13 patches cut from one gastric biopsy slide, H&E.
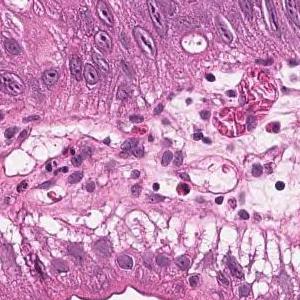
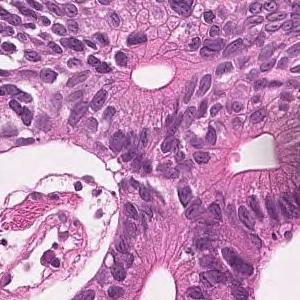
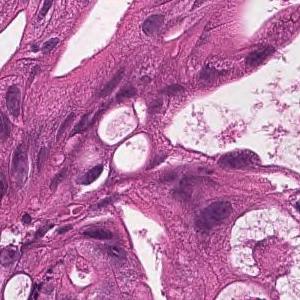
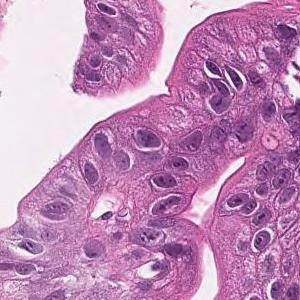
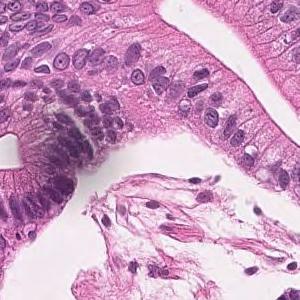
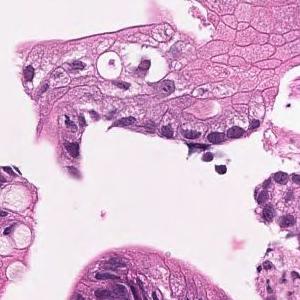
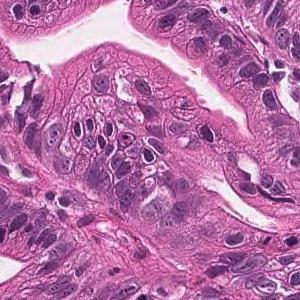
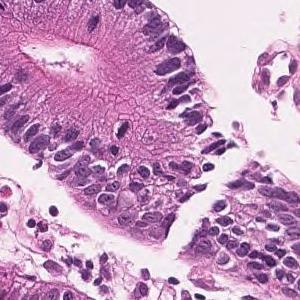
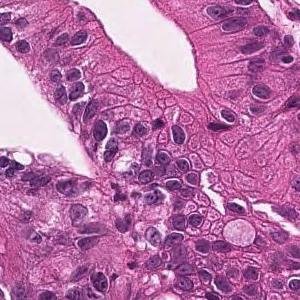
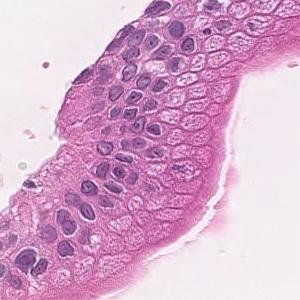
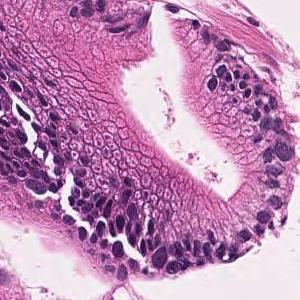
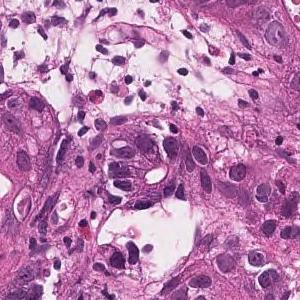
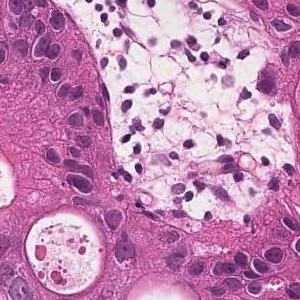
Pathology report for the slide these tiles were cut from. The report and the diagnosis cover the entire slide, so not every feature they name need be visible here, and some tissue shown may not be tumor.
On the superficial epithelium, tumor tissue that infiltrates by forming medium-sized papillary or small irregular ducts is observed. Papillary adenocarcinoma
